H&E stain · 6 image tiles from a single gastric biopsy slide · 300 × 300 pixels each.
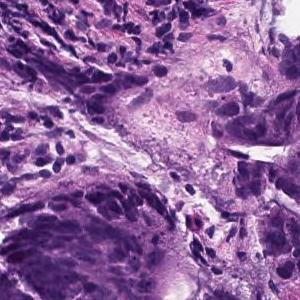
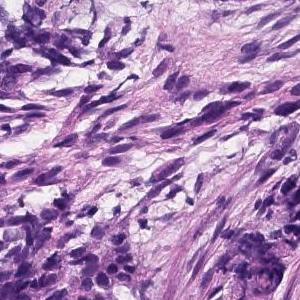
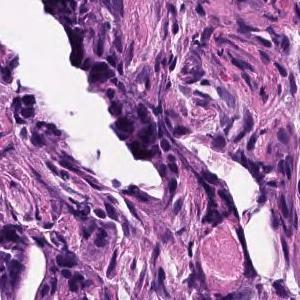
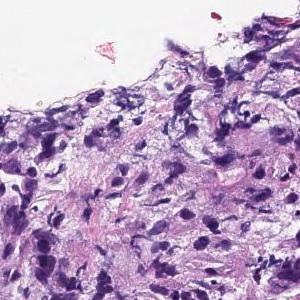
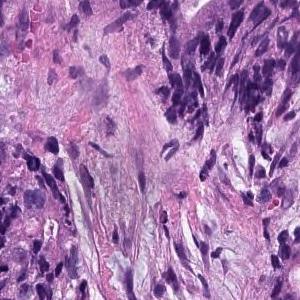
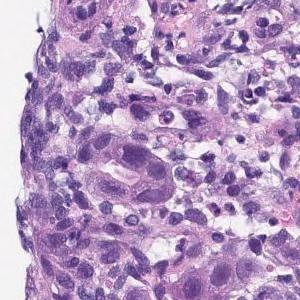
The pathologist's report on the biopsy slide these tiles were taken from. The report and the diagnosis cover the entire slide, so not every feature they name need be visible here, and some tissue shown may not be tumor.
Medium to small, irregular glandular ducts are formed in the superficial epithelium, and in some cases, the glandular ducts are fused to show solid alveolar lesions and infiltrating tumor tissue is observed. Moderately to poorly differentiated adenocarcinoma.
